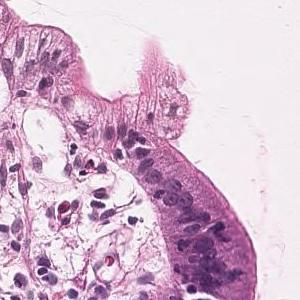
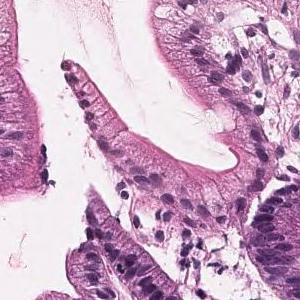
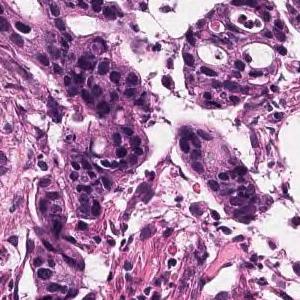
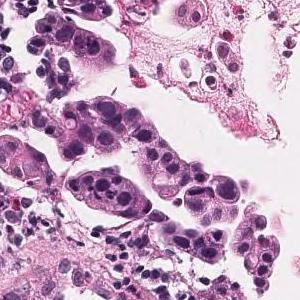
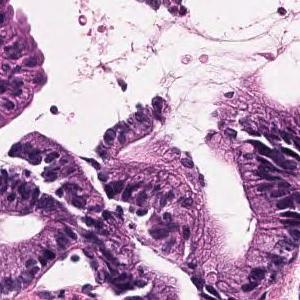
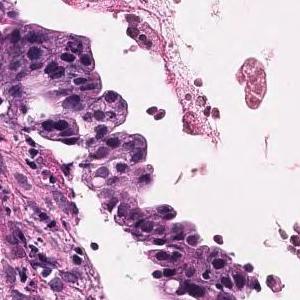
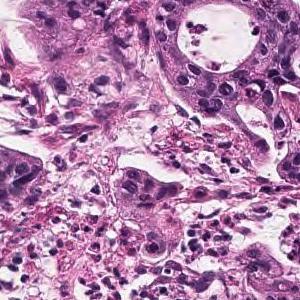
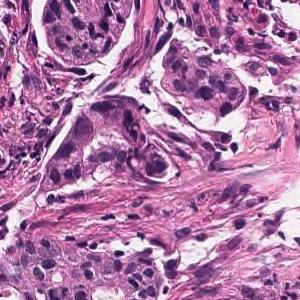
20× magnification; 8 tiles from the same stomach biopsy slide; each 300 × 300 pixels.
Pathology report for the slide these tiles were cut from. The report describes the whole slide, diagnosis included: not every finding it names need appear in these tiles, which may also show non-tumor tissue.
Tumor tissue that grows invasively while the short atypical epithelium forms small ducts is observed. moderately differentiated tubular adenocarcinoma
